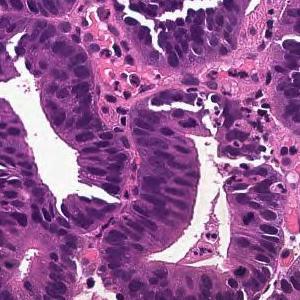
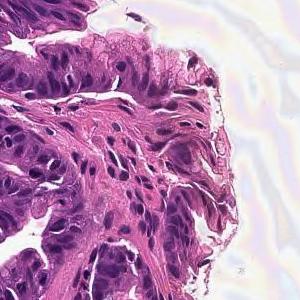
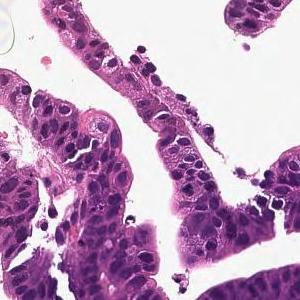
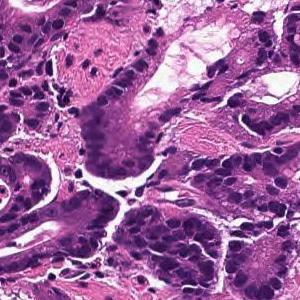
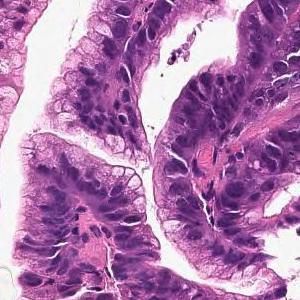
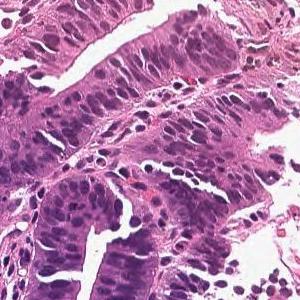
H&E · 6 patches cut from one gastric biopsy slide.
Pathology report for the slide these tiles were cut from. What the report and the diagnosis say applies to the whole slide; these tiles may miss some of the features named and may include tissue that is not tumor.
From the superficial epithelium to the muscularis mucosae, tumor tissue consisting of medium-sized and irregular glandular ducts infiltrating is observed. Well differentiated tubular adenocarcinoma
